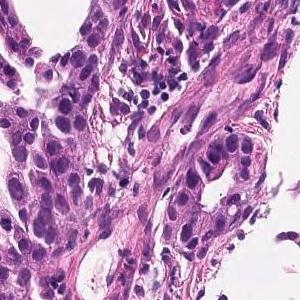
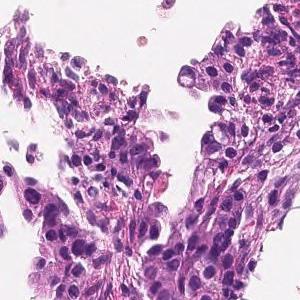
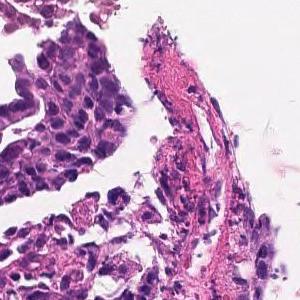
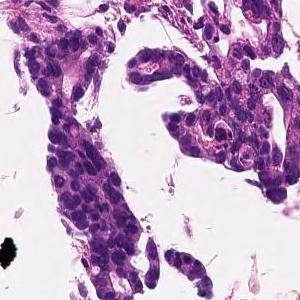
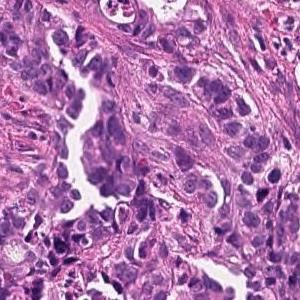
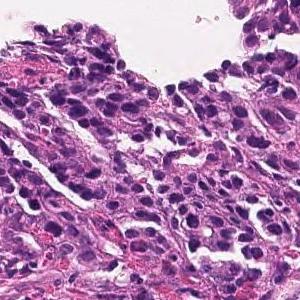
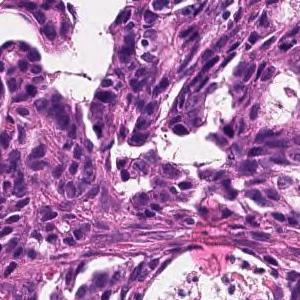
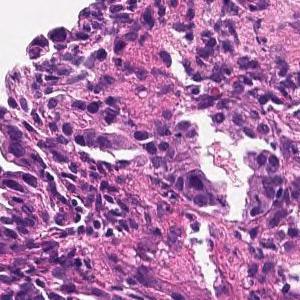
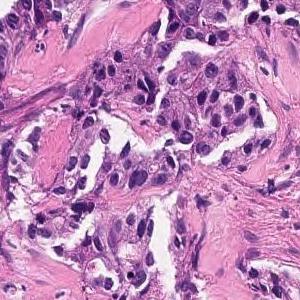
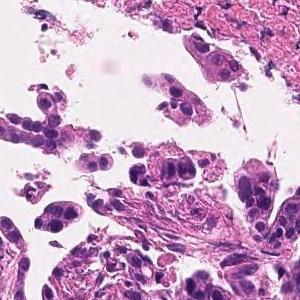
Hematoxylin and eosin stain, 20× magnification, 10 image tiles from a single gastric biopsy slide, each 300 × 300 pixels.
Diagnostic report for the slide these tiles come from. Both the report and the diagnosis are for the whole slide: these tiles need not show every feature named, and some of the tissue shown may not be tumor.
On the superficial epithelium, tumor tissue consisting of images of small to medium-sized and irregular tubules infiltrating with irregular fusion is observed. moderately differentiated tubular adenocarcinoma
